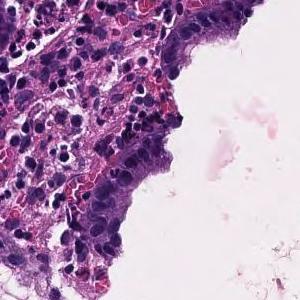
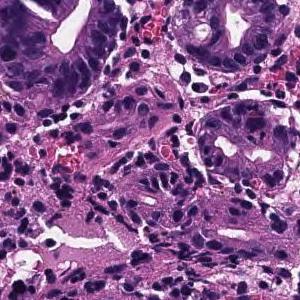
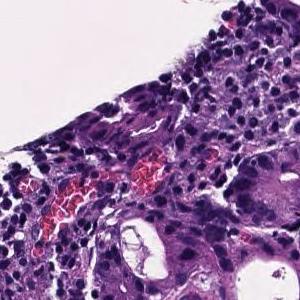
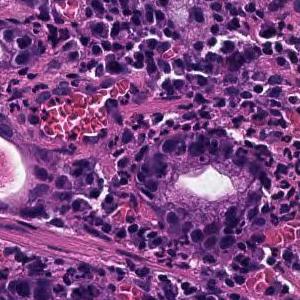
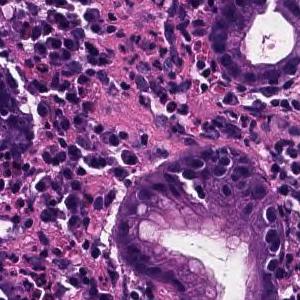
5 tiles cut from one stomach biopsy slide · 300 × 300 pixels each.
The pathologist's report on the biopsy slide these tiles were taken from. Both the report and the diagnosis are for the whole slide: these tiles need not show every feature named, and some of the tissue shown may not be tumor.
In the superficial epithelium, tumor tissue that invades by forming medium-sized to small, irregular ducts is observed. moderately differentiated tubular adenocarcinoma.
